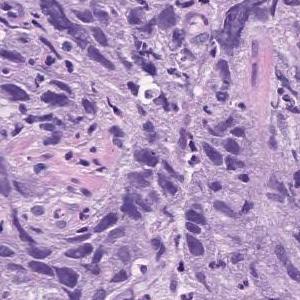
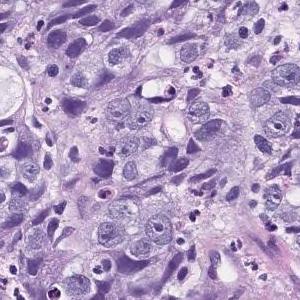
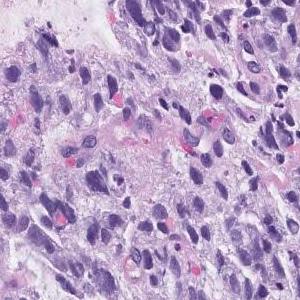
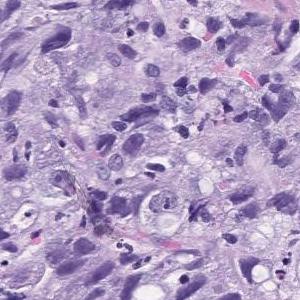
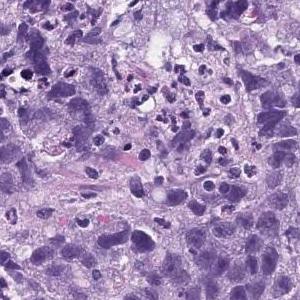
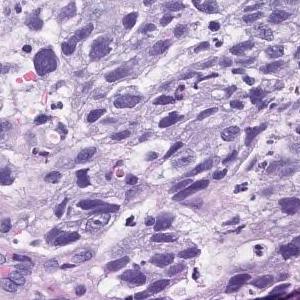
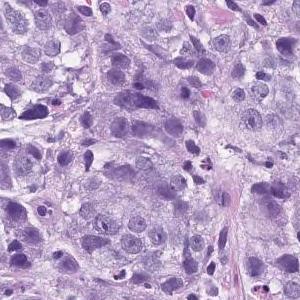
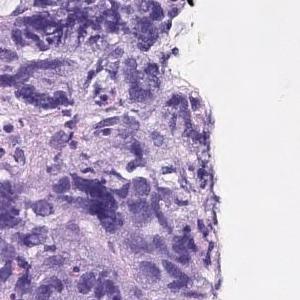
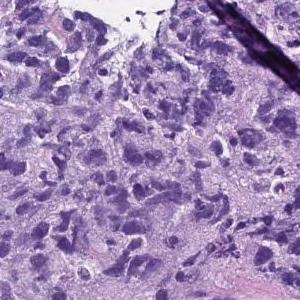
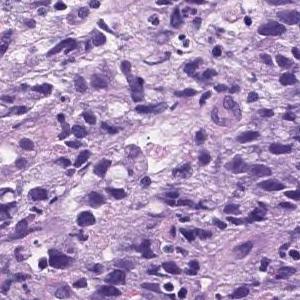
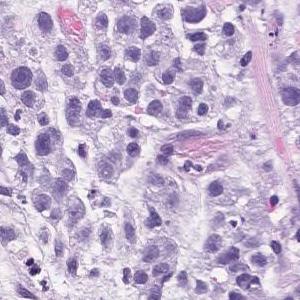
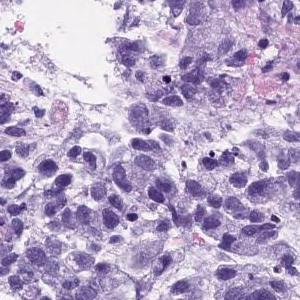
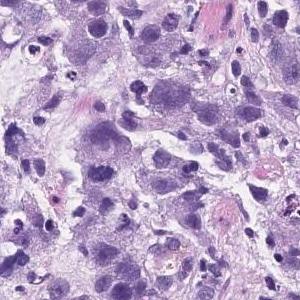
Hematoxylin and eosin stain; 13 image tiles from a single gastric biopsy slide; each 300 × 300 pixels.
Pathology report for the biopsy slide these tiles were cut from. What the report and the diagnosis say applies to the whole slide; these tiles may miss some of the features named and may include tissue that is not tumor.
Atypical l cells with atypical nuclei forming solid vesicles or small irregular atypical ducts that proliferate in a complex manner. poorly differentiated adenocarcinoma, solid type, moderately differentiated tubular adenocarcinoma
"Solid type" is a category of the Japanese Classification of Gastric Carcinoma; in the WHO 2019 classification it is tubular adenocarcinoma, poorly differentiated.
